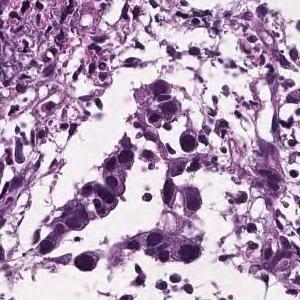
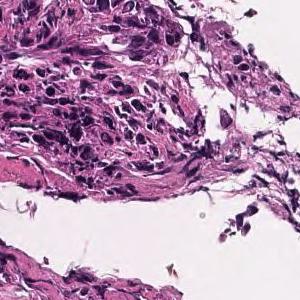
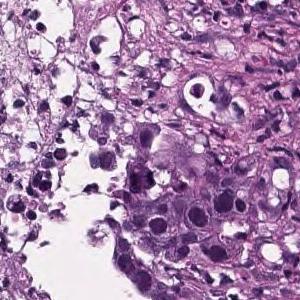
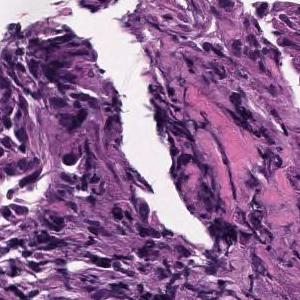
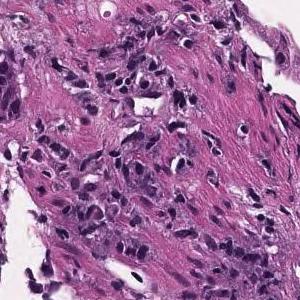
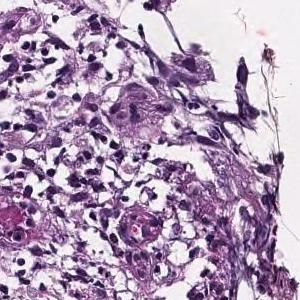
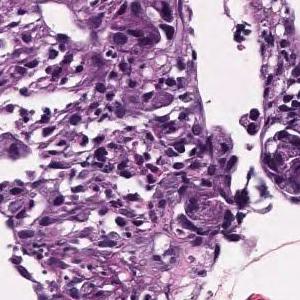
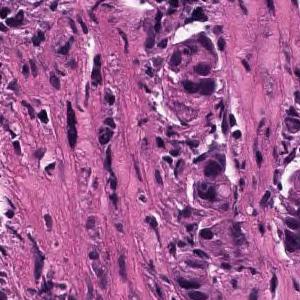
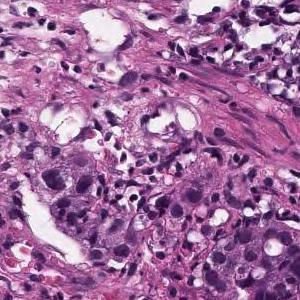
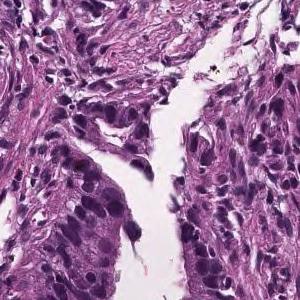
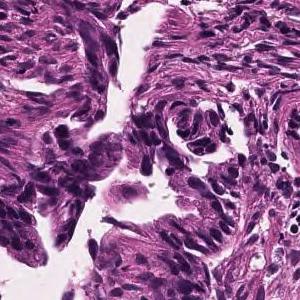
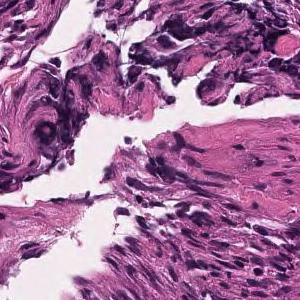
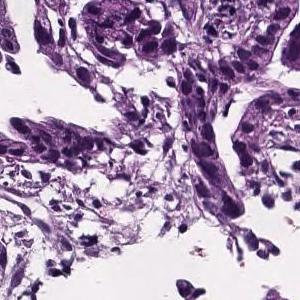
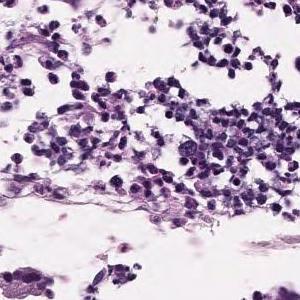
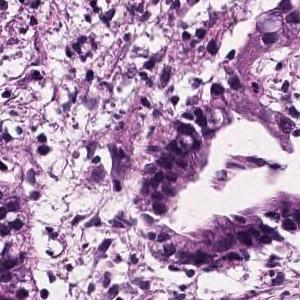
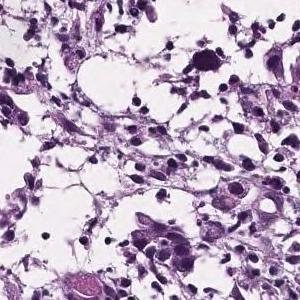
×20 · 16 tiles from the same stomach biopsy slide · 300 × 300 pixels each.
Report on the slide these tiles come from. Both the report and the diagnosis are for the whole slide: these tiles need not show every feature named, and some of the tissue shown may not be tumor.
In the superficial epithelium, tumor tissue that invades by forming medium-sized to small, irregular ducts is observed. moderately differentiated tubular adenocarcinoma.
